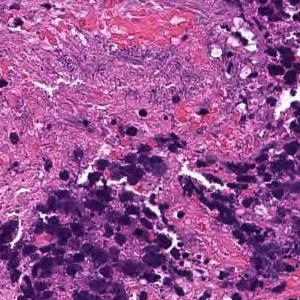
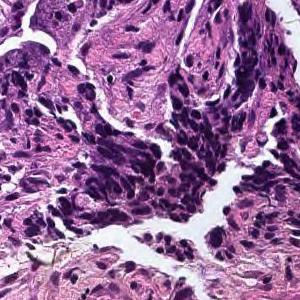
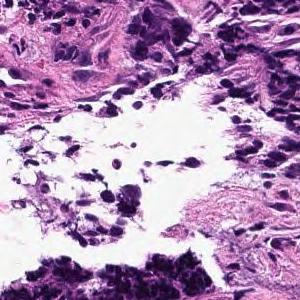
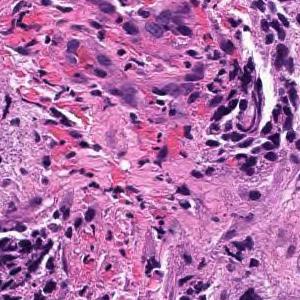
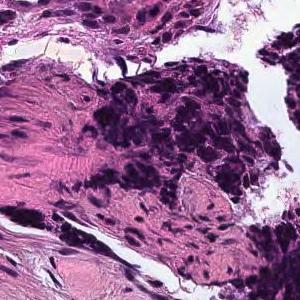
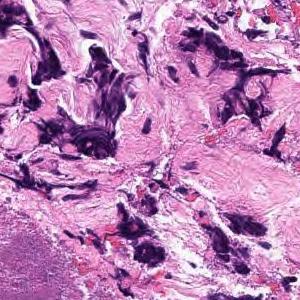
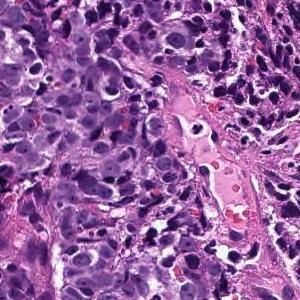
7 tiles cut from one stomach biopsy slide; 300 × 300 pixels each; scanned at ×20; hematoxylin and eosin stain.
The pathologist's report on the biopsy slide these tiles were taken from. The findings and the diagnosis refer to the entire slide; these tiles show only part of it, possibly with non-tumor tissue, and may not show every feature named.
The superficial epithelium shows a large sheet or alveolar shape, and tumor tissue infiltrating without irregular ducts is observed. Poorly differentiated adenocarcinoma, solid-type
Histological subtype: Poorly differentiated adenocarcinoma, solid type (Japanese Classification of Gastric Carcinoma). The WHO 2019 equivalent is tubular adenocarcinoma, poorly differentiated.
